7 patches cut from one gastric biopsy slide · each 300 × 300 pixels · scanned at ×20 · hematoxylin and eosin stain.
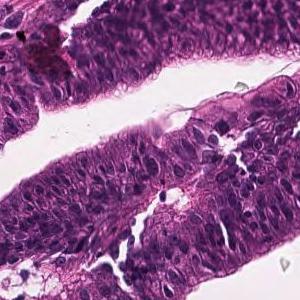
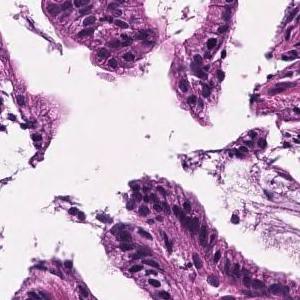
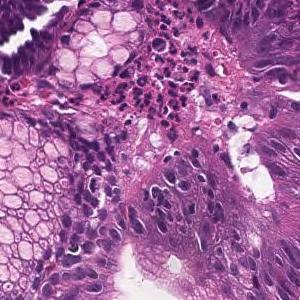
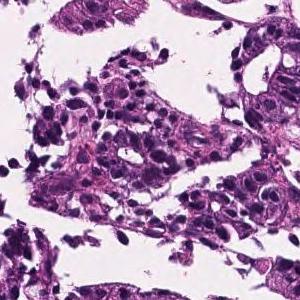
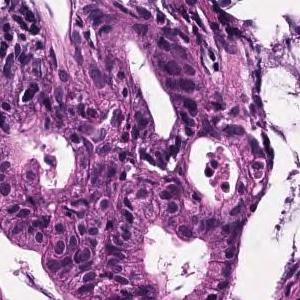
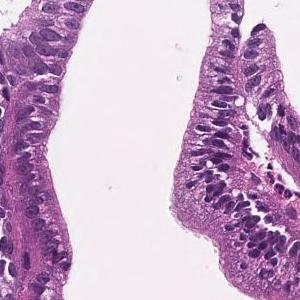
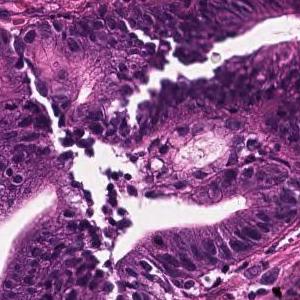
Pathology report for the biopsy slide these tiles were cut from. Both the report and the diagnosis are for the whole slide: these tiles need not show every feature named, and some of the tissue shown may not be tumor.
In the superficial epithelium, tumor tissue that invades by forming medium-sized to small, irregular ducts is observed. Well differentiated tubular adenocarcinoma.
